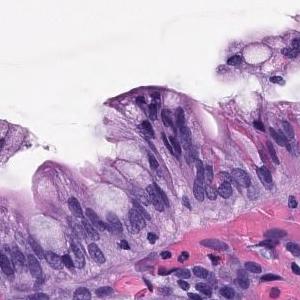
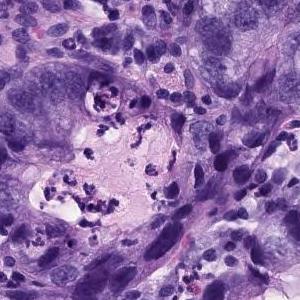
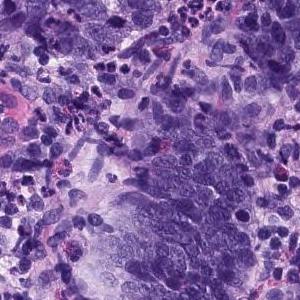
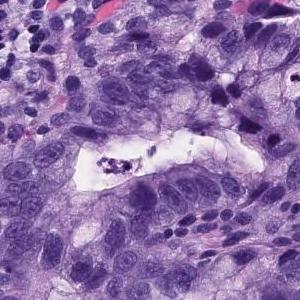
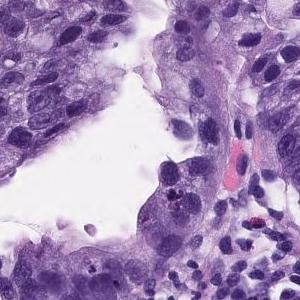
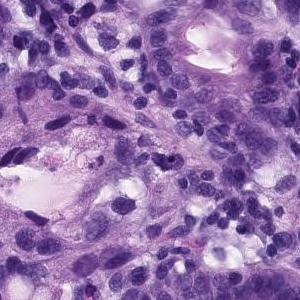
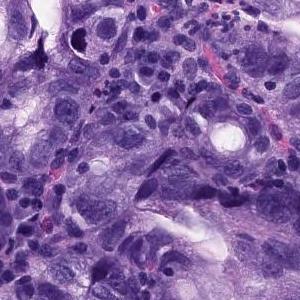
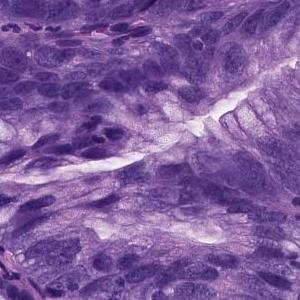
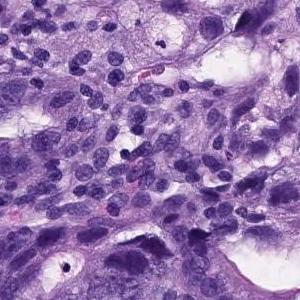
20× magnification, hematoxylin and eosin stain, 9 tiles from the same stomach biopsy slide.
Report on the slide these tiles come from. Both the report and the diagnosis are for the whole slide: these tiles need not show every feature named, and some of the tissue shown may not be tumor.
There are large atypical epithelial cells infiltrating and proliferating while forming atypical glandular cavities showing a fusion tendency. Moderately differentiated tubular adenocarcinoma.
